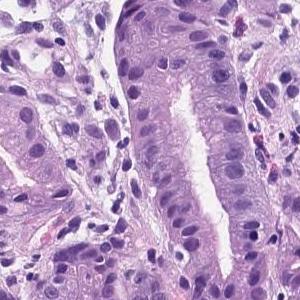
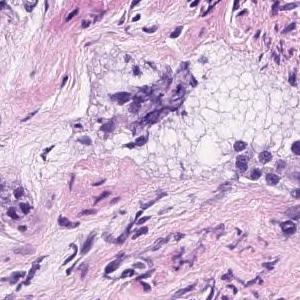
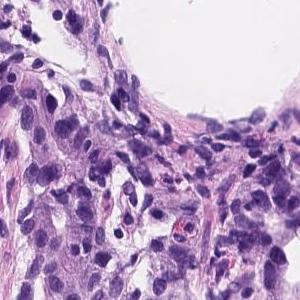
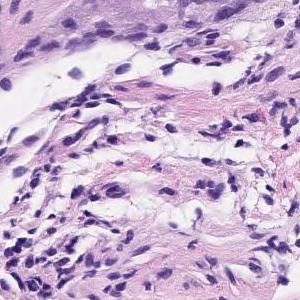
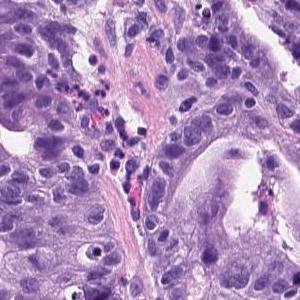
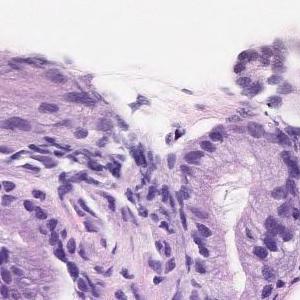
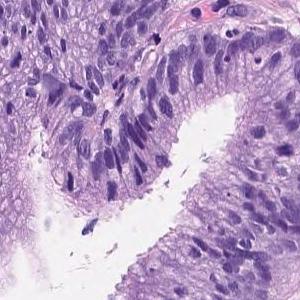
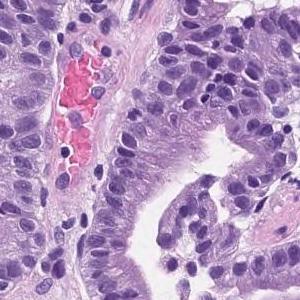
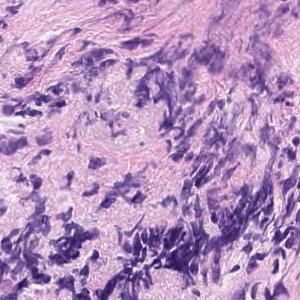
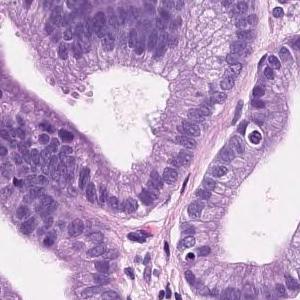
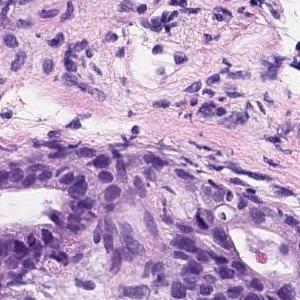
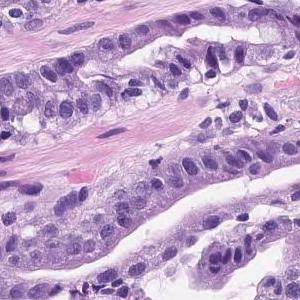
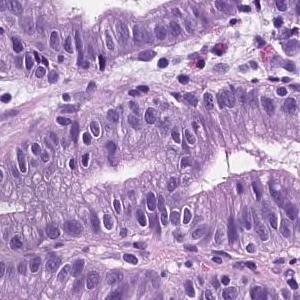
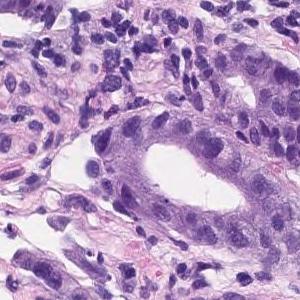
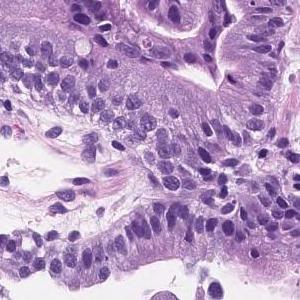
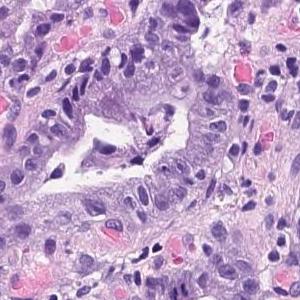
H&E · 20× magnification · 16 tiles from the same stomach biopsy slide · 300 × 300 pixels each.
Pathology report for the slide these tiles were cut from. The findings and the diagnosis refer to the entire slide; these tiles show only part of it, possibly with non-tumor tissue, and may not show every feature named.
Tumor tissue consisting of medium-sized and irregular ducts is observed infiltrating in the superficial epithelium. Tumor cells are highly columnar, with nuclei aligned basolaterally and polarized. Well differentiated tubular adenocarcinoma.
